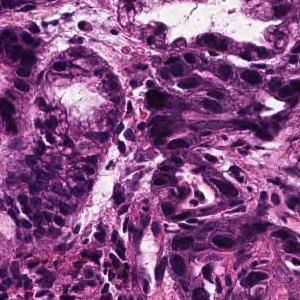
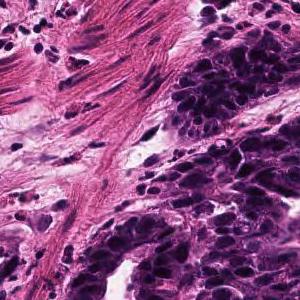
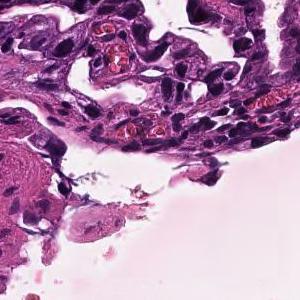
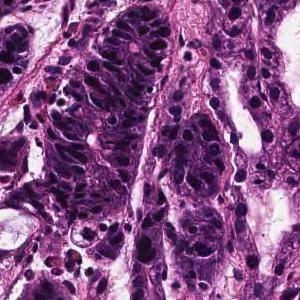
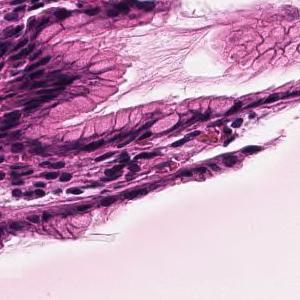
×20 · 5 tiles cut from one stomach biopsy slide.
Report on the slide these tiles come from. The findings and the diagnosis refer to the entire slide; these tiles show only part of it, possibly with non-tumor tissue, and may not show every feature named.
In the superficial epithelium, tumor tissue that invades by forming medium-sized to small, irregular ducts is observed. moderately differentiated tubular adenocarcinoma.
